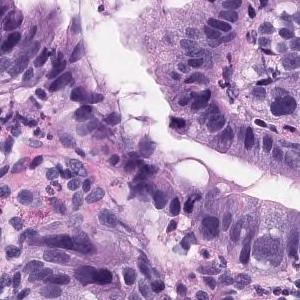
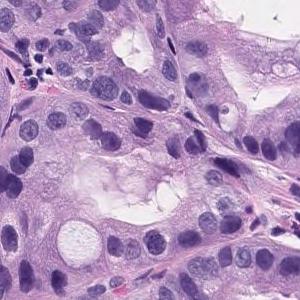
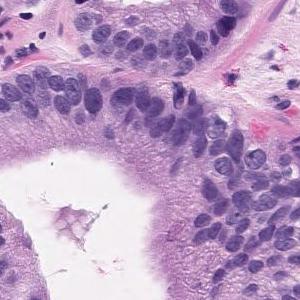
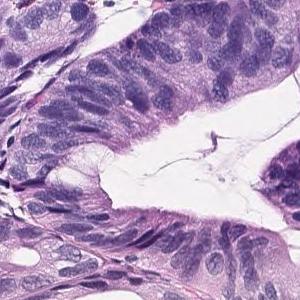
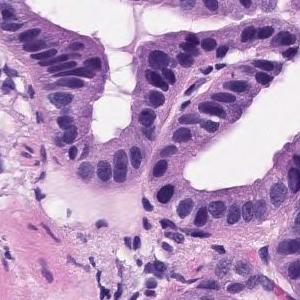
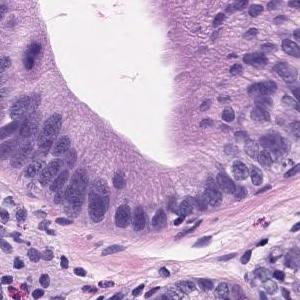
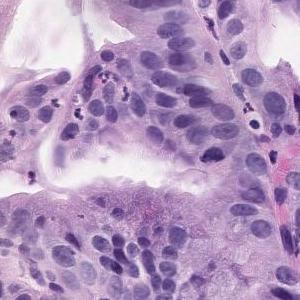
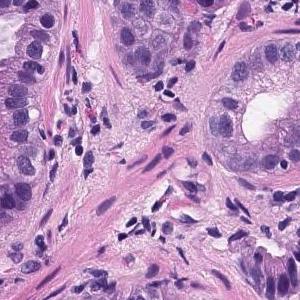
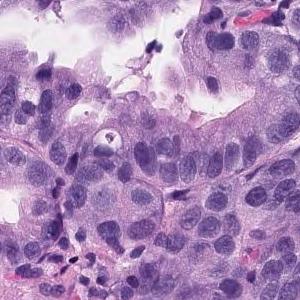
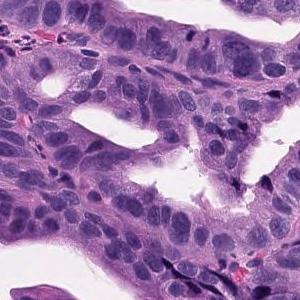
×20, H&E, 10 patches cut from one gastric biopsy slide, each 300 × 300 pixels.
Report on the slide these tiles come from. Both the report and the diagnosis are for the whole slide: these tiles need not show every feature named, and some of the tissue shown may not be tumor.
Tumor tissue consisting of medium-sized and irregular ducts is observed infiltrating in the superficial epithelium. Tumor cells are highly columnar, with nuclei aligned basolaterally and polarized. Well differentiated tubular adenocarcinoma.
